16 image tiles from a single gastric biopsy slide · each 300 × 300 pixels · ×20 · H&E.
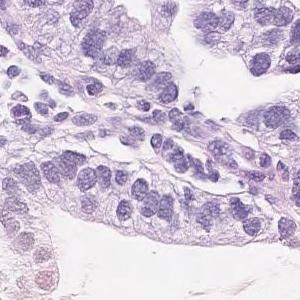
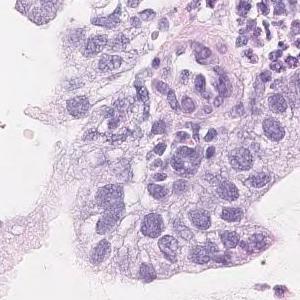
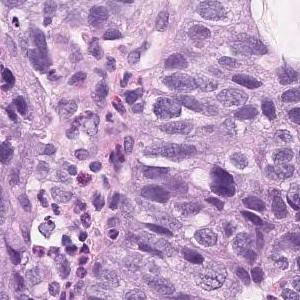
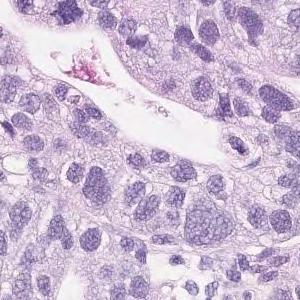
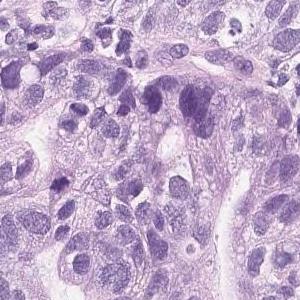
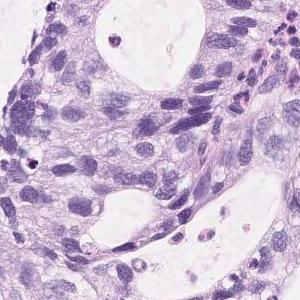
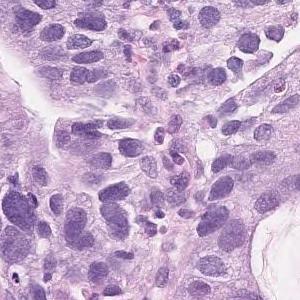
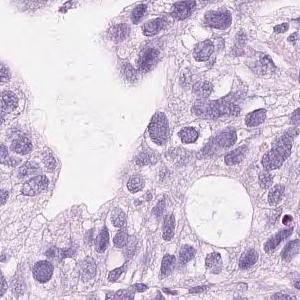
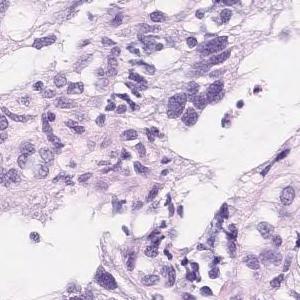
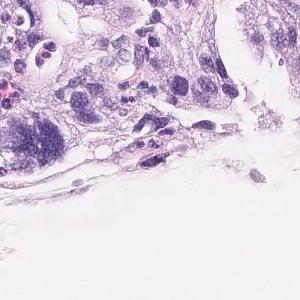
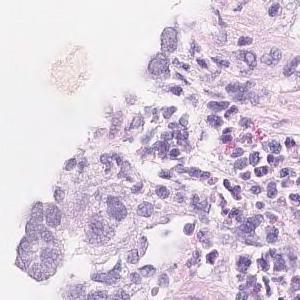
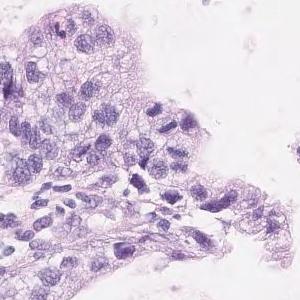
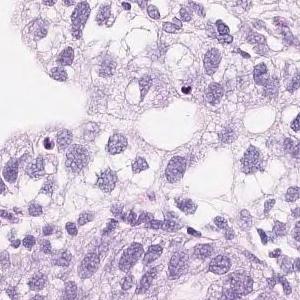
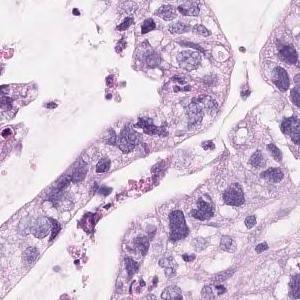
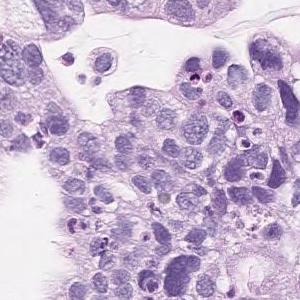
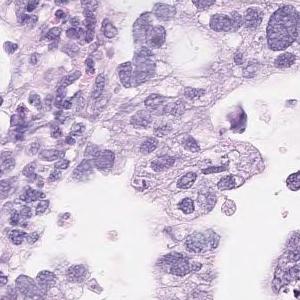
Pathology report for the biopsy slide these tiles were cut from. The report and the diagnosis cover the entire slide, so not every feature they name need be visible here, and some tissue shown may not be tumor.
On the superficial epithelium, tumor tissue consisting of large, irregular glandular ducts partially fused and infiltrated is observed. Well to moderately differentiated tubular adenocarcinoma (well differentiated tubular adenocarcinoma, moderately differentiated tubular adenocarcinoma)
Histologic type: Well to moderately differentiated tubular adenocarcinoma.
